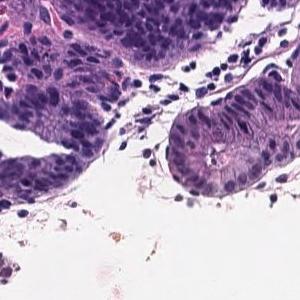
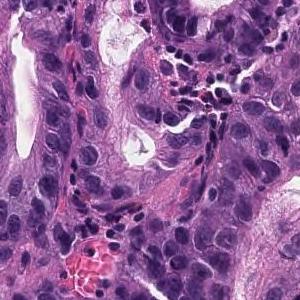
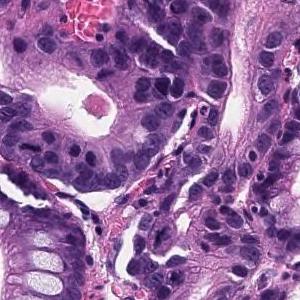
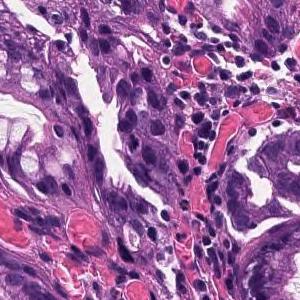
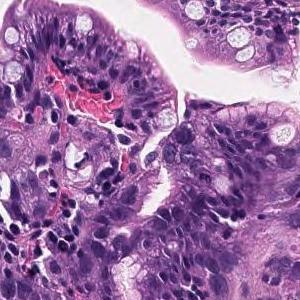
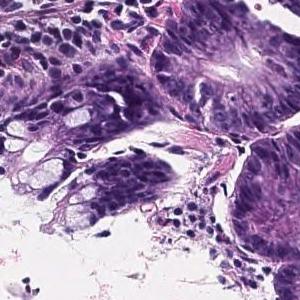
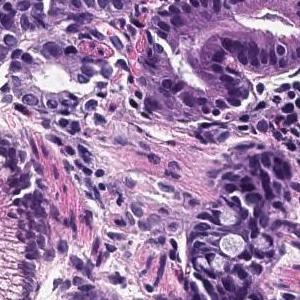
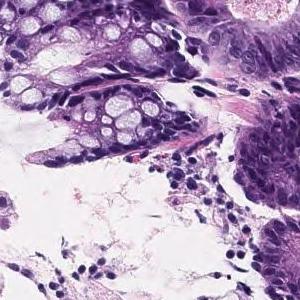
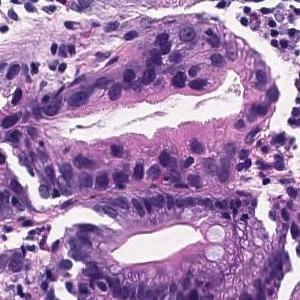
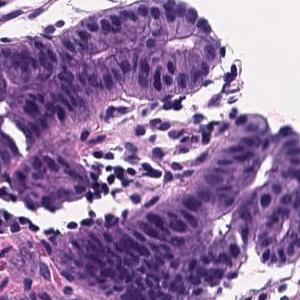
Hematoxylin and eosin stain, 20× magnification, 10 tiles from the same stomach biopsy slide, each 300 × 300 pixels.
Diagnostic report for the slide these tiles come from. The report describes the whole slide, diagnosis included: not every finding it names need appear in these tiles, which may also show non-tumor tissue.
Atypical ducts are found against the background of intestinal metaplasia. Moderately differentiated tubular adenocarcinoma, Well differentiated tubular adenocarcinoma.
